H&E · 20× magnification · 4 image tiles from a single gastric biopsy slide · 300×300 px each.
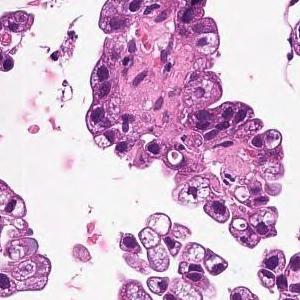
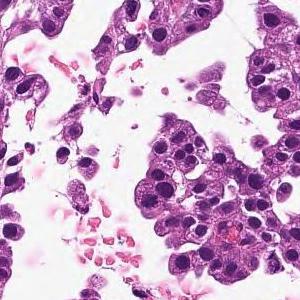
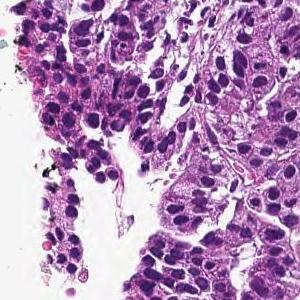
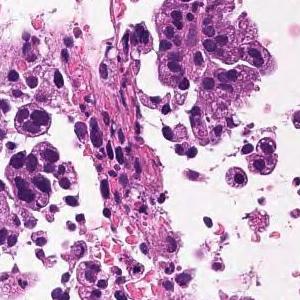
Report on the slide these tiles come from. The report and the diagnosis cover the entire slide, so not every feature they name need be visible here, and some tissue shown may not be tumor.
In the superficial epithelium, tumor tissue that invades by forming medium-sized to small, irregular ducts is observed. moderately differentiated tubular adenocarcinoma.
